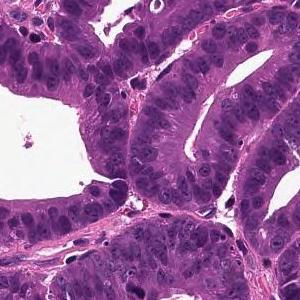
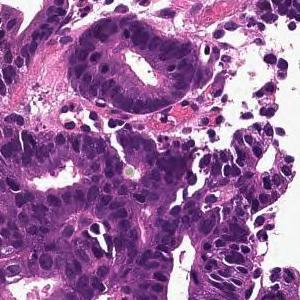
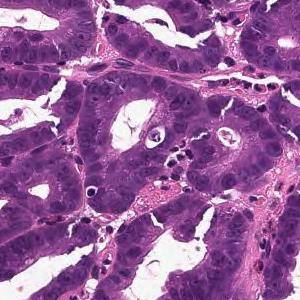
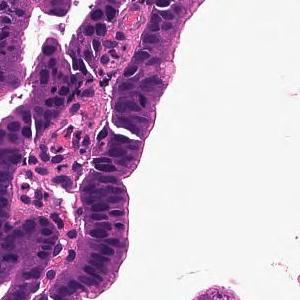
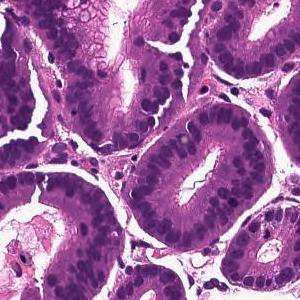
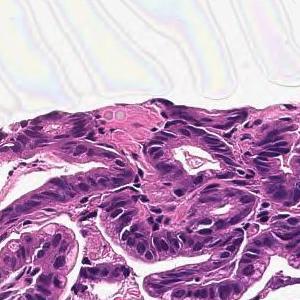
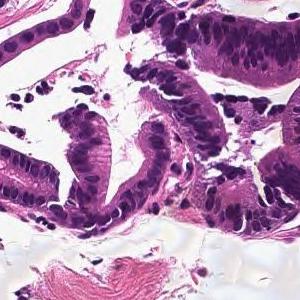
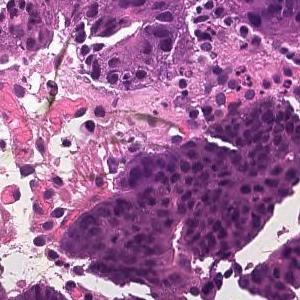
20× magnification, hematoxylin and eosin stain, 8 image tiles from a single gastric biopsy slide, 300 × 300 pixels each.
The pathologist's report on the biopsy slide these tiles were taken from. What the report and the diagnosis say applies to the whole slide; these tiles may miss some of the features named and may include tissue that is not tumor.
From the superficial epithelium to the muscularis mucosae, tumor tissue consisting of medium-sized and irregular glandular ducts infiltrating is observed. Well differentiated tubular adenocarcinoma
